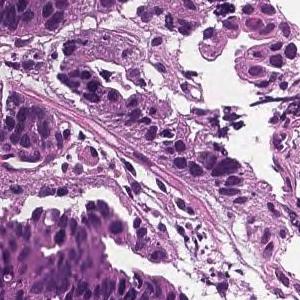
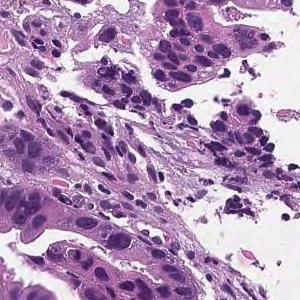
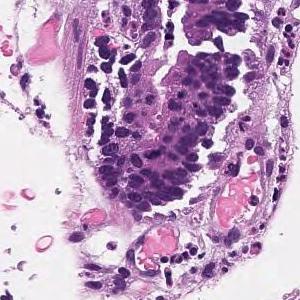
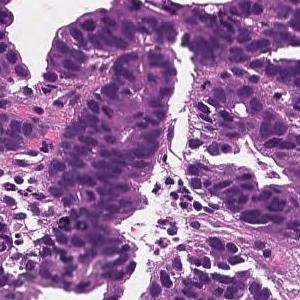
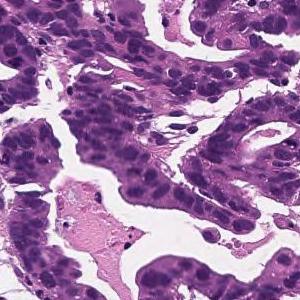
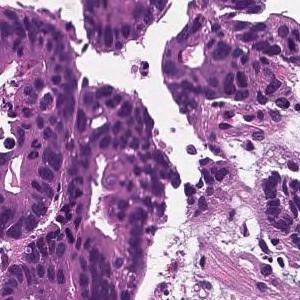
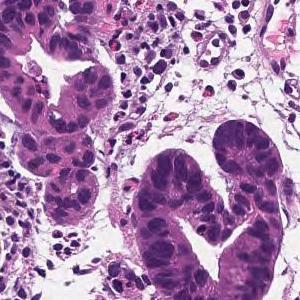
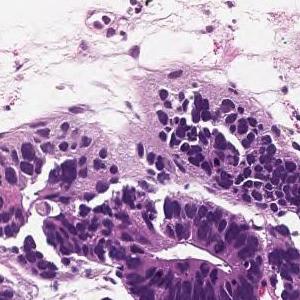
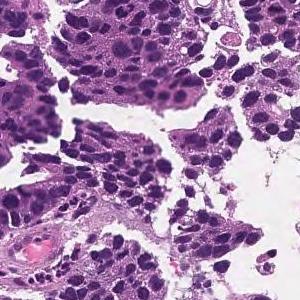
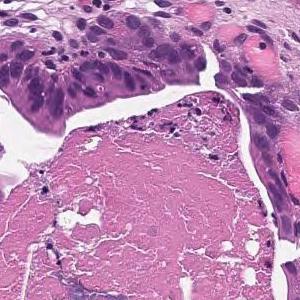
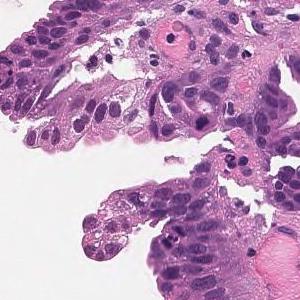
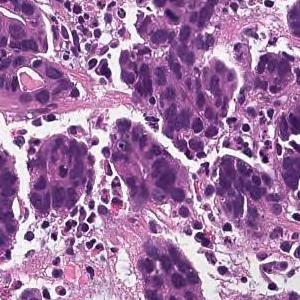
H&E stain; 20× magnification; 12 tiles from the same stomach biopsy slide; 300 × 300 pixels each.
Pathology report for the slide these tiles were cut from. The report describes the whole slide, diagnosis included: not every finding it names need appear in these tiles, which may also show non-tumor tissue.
In the superficial epithelium, tumor tissue that invades by forming medium-sized to small, irregular ducts is observed. moderately differentiated tubular adenocarcinoma.
